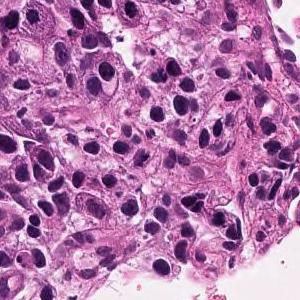
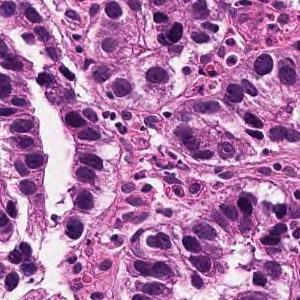
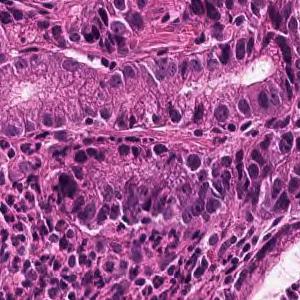
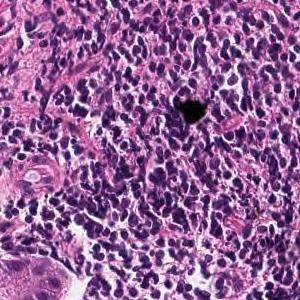
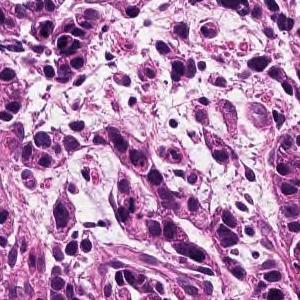
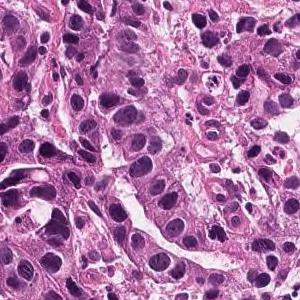
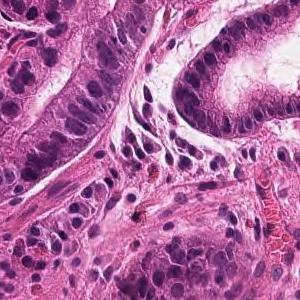
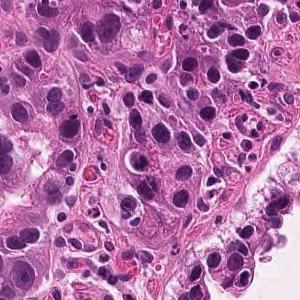
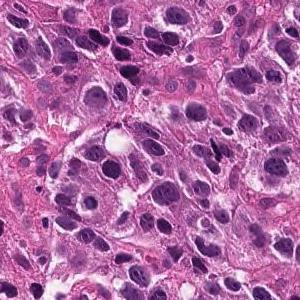
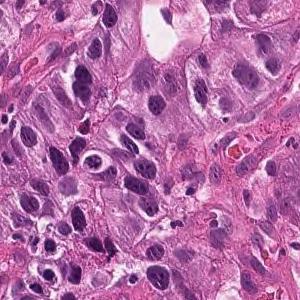
×20 · H&E · 10 tiles cut from one stomach biopsy slide · 300 × 300 pixels each.
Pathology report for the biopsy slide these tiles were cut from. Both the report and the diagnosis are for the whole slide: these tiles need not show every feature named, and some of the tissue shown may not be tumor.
Tumor tissue consisting of medium-sized, cord-like or irregular glandular infiltration is observed in the superficial epithelium. Poorly differentiated adenocarcinoma, non-solid type or moderately differentiated tubular adenocarcinoma
Subtype: Moderately to poorly differentiated adenocarcinoma.
"Non-solid type" is a category of the Japanese Classification of Gastric Carcinoma.
